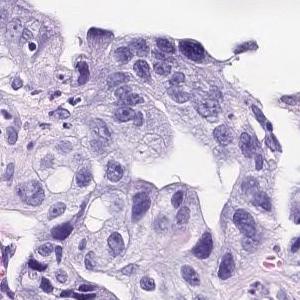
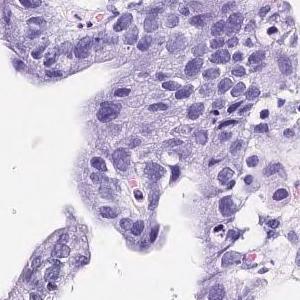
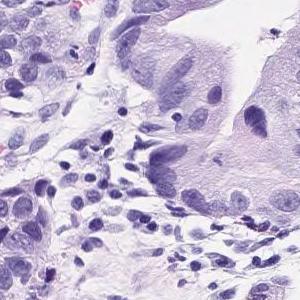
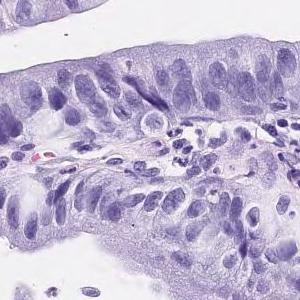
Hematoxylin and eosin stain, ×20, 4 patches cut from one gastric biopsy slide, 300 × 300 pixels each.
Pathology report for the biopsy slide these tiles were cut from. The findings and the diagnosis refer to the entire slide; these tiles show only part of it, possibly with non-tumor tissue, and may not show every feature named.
Tumor tissue consisting of medium-sized and irregular ducts is observed infiltrating in the superficial epithelium. Tumor cells are highly columnar, with nuclei aligned basolaterally and polarized. Well differentiated tubular adenocarcinoma.
